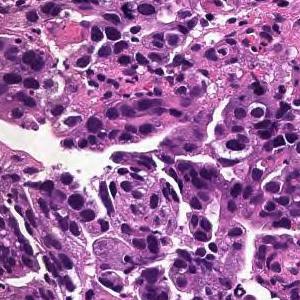
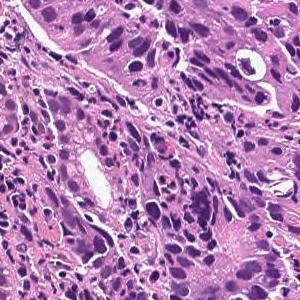
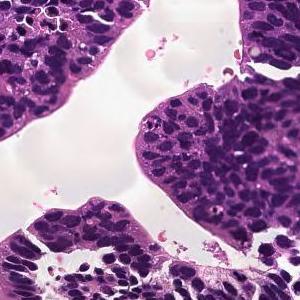
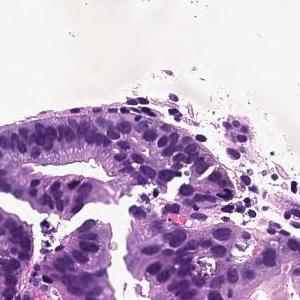
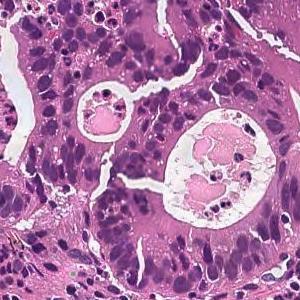
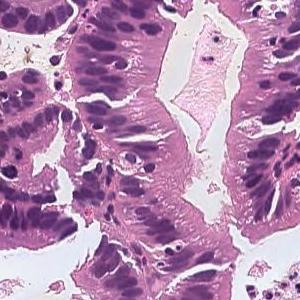
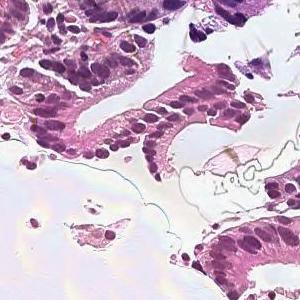
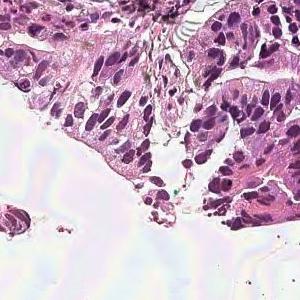
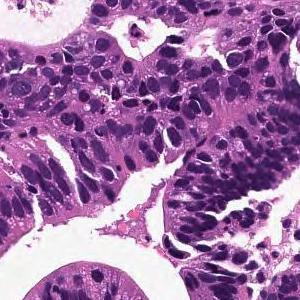
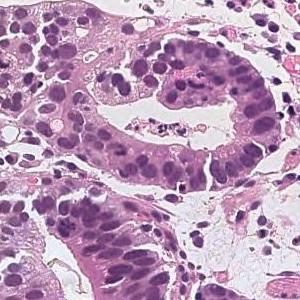
10 tiles from the same stomach biopsy slide, 300 × 300 pixels each.
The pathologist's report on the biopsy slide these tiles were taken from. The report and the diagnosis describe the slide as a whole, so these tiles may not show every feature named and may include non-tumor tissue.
On the superficial epithelium, tumor tissue consisting of large irregular glandular ducts partially fused and infiltrated is observed. Well to moderately differentiated tubular adenocarcinoma (well differentiated tubular adenocarcinoma, moderately differentiated tubular adenocarcinoma)
Histologic type: Well to moderately differentiated tubular adenocarcinoma.
